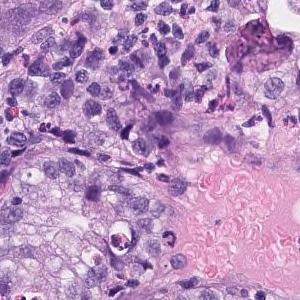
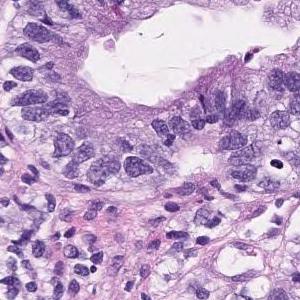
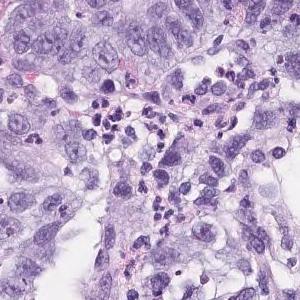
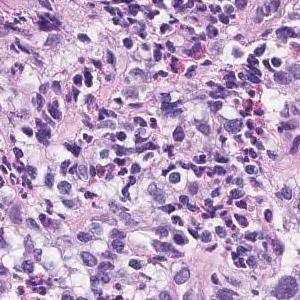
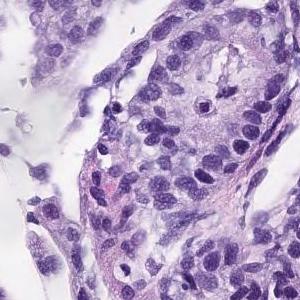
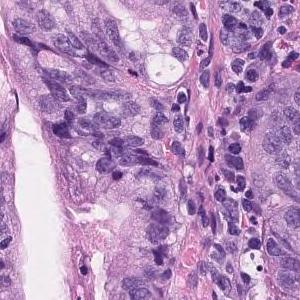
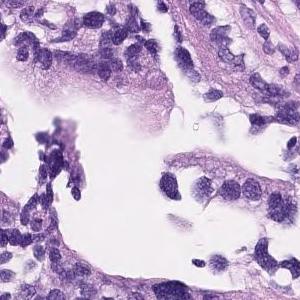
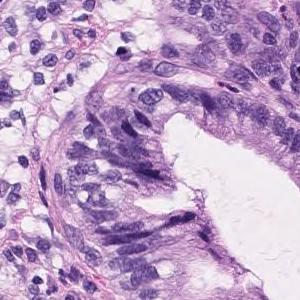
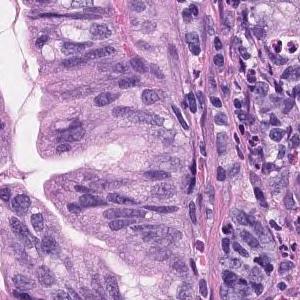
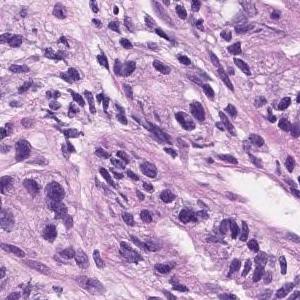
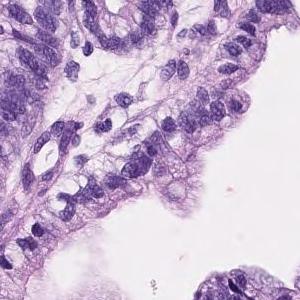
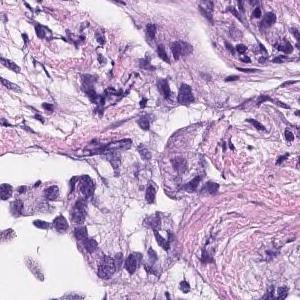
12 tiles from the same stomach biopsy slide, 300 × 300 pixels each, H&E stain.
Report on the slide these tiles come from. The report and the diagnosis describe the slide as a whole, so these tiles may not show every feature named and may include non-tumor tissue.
Tumor cells are large, highly columnar, large club-shaped nuclei, and are associated with chromatin aggregation. Papillary adenocarcinoma.
